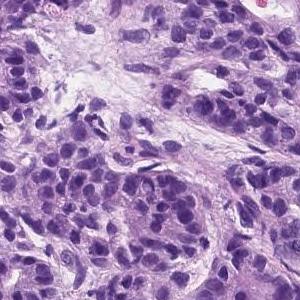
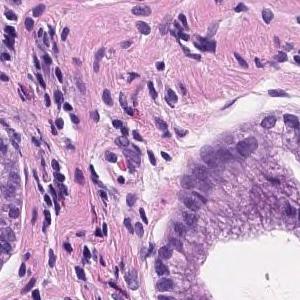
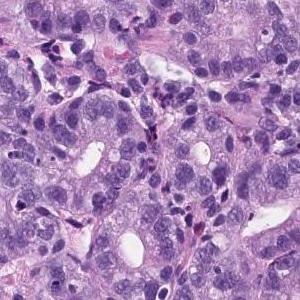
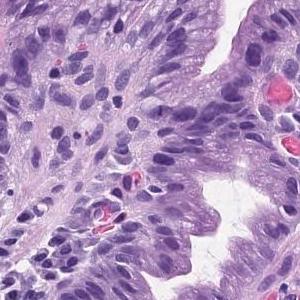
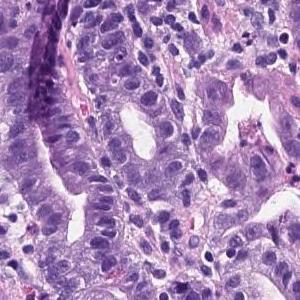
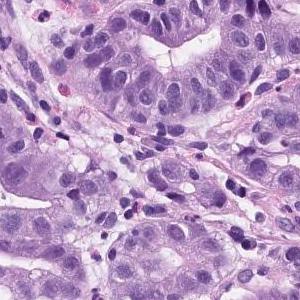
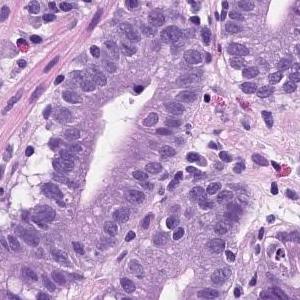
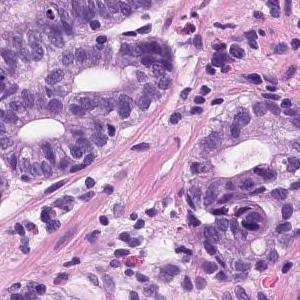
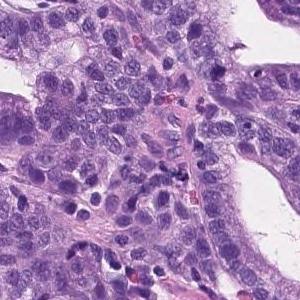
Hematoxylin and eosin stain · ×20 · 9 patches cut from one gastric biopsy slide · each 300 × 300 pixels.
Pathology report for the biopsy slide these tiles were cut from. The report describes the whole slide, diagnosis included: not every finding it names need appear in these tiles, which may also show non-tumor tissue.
Tumor tissue consisting of medium-sized and irregular ducts is observed infiltrating in the superficial epithelium. Tumor cells are highly columnar, with nuclei aligned basolaterally and polarized. Well differentiated tubular adenocarcinoma.
